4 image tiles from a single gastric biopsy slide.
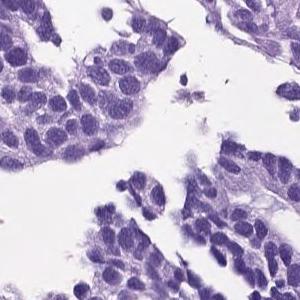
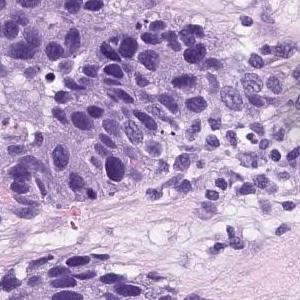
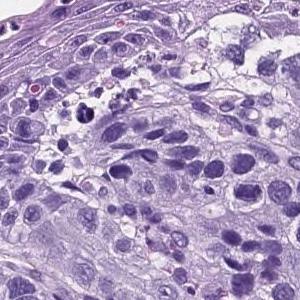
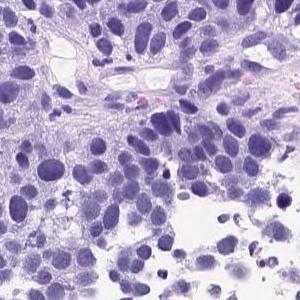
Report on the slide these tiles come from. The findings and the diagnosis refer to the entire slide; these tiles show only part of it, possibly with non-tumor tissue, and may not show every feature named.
Atypical cells with atypical nuclei forming small irregular atypical ducts and growing in a conformative manner. moderately differentiated tubular adenocarcinoma
Labeled in the dataset as moderately to poorly differentiated adenocarcinoma.
